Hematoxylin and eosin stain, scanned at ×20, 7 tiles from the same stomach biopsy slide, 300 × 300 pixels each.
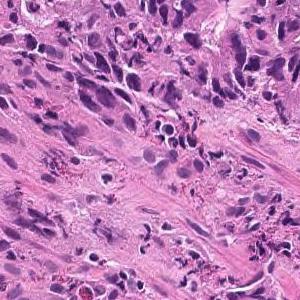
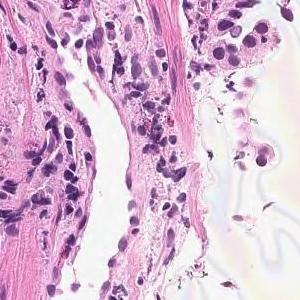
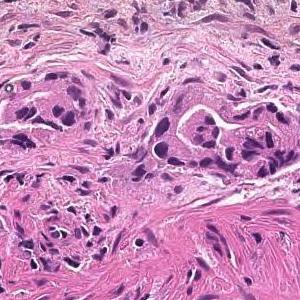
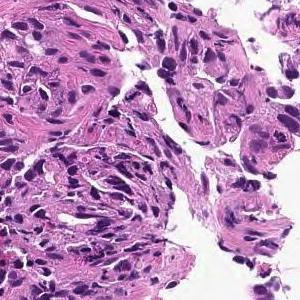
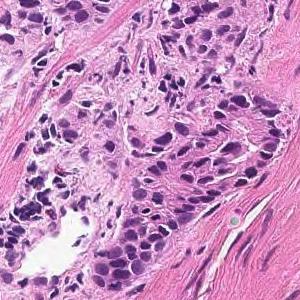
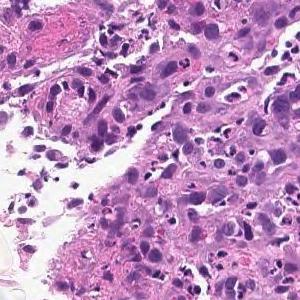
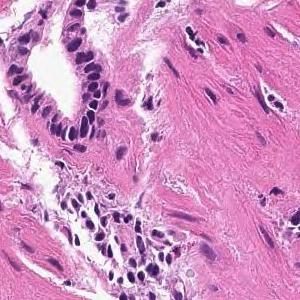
Pathology report for the biopsy slide these tiles were cut from. What the report and the diagnosis say applies to the whole slide; these tiles may miss some of the features named and may include tissue that is not tumor.
On the superficial epithelium, tumor tissue consisting of large irregular glandular ducts partially fused and infiltrated is observed. Well to moderately differentiated tubular adenocarcinoma (well differentiated tubular adenocarcinoma, moderately differentiated tubular adenocarcinoma)
Tumor subtype: well to moderately differentiated tubular adenocarcinoma.
